20× magnification · 9 image tiles from a single gastric biopsy slide.
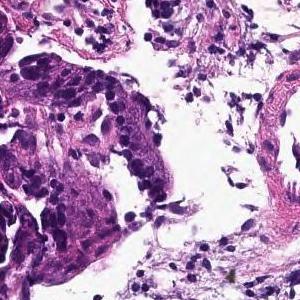
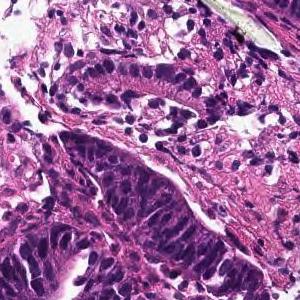
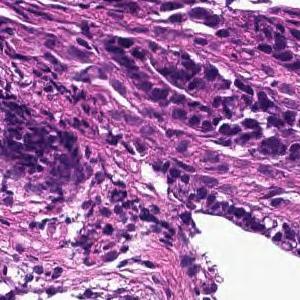
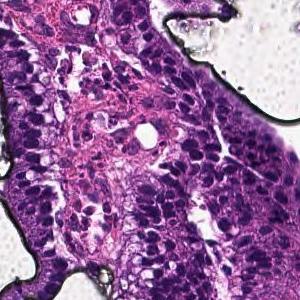
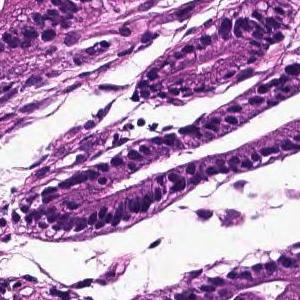
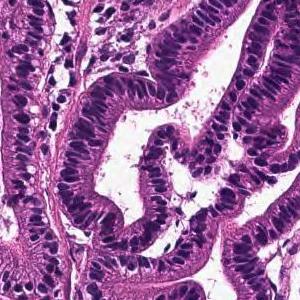
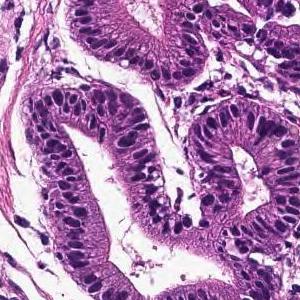
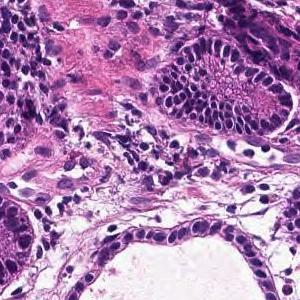
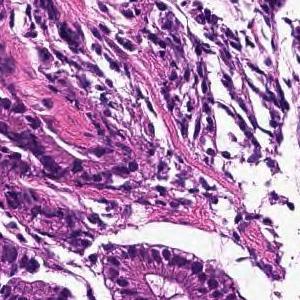
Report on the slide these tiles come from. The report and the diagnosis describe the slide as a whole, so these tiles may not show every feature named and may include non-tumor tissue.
On the superficial epithelium, tumor tissue that infiltrates by forming medium-sized round or small irregular ducts is observed. Papillary adenocarcinoma
